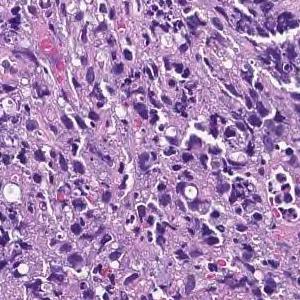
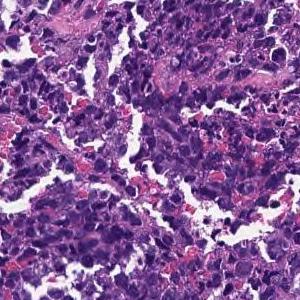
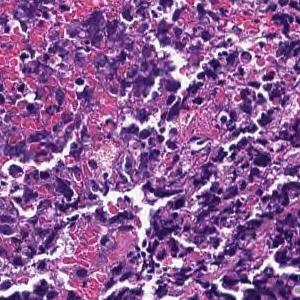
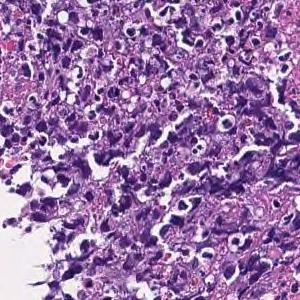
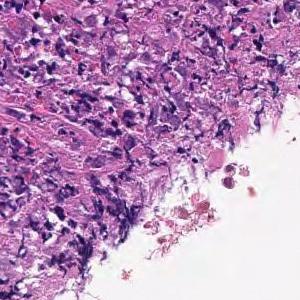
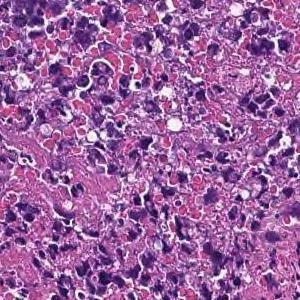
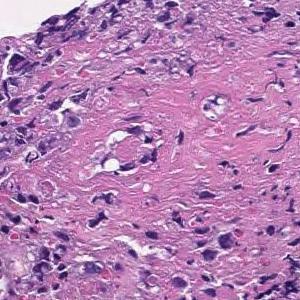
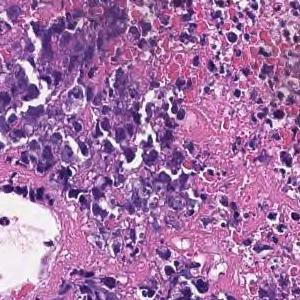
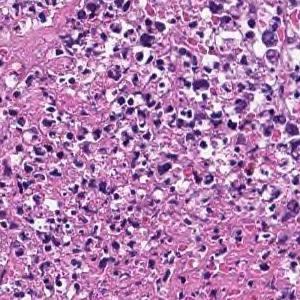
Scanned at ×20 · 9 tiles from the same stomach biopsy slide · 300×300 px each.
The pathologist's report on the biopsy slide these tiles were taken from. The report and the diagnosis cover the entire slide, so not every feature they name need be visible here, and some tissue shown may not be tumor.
Most are composed of coagulative necrotic tissue, but some show a large sheet-like shape, and some show tumor tissue infiltrating with a small cord-like structure. Poorly differentiated adenocarcinoma, solid-type
Histologic type: Poorly differentiated adenocarcinoma, solid type. This name comes from the Japanese Classification of Gastric Carcinoma; the WHO 2019 classification calls it tubular adenocarcinoma, poorly differentiated.
